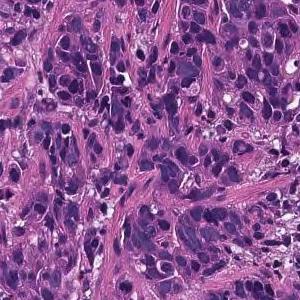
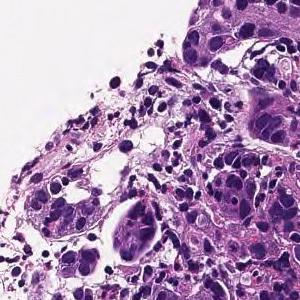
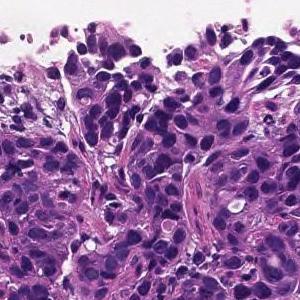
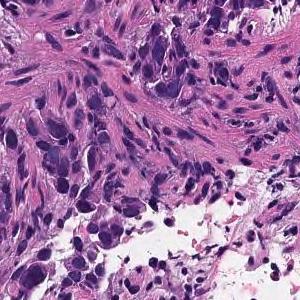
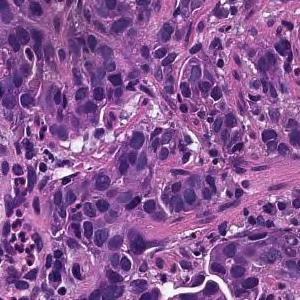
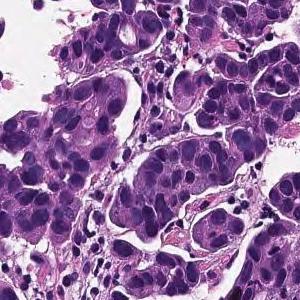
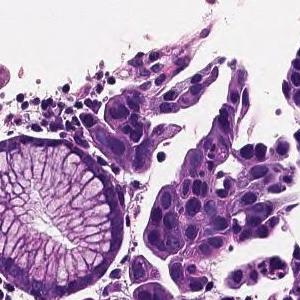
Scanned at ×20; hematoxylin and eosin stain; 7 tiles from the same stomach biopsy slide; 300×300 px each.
Pathology report for the biopsy slide these tiles were cut from. The findings and the diagnosis refer to the entire slide; these tiles show only part of it, possibly with non-tumor tissue, and may not show every feature named.
The superficial epithelium shows small cord-like infiltrating tumor tissue. There is no mucin production in tumor cells. Poorly differentiated adenocarcinoma, non-solid type
"Non-solid type" is a category of the Japanese Classification of Gastric Carcinoma.
